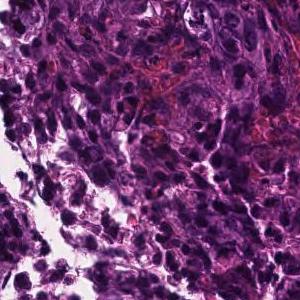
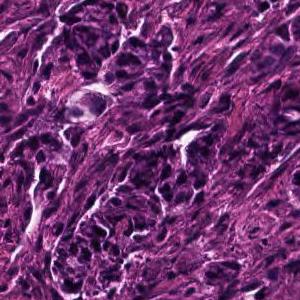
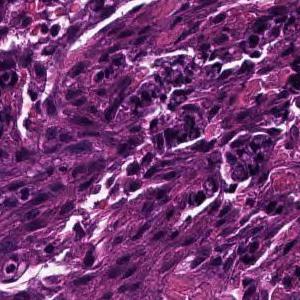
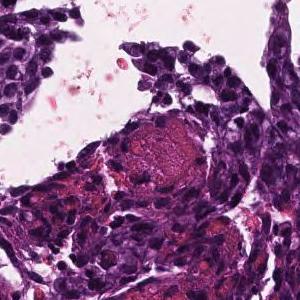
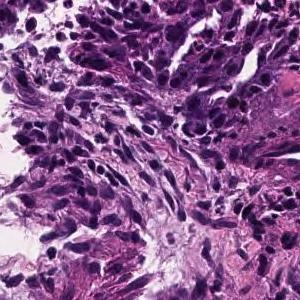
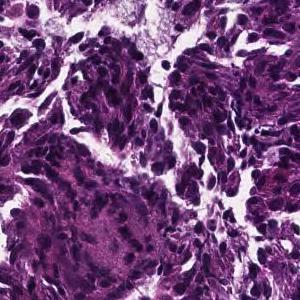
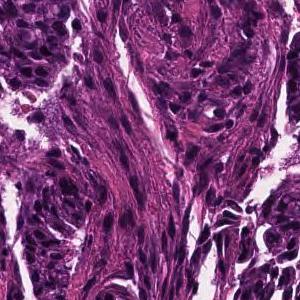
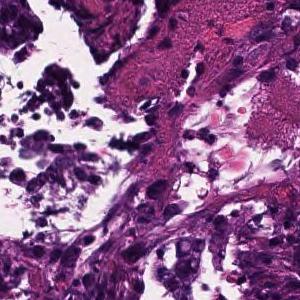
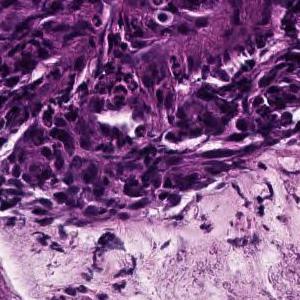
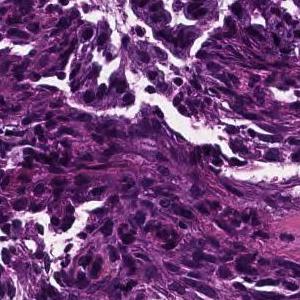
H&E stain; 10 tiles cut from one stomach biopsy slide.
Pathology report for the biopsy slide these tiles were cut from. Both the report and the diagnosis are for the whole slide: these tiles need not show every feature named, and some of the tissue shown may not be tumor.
Tumor tissue consisting of medium-sized, cord-like or irregular glandular infiltration is observed in the superficial epithelium. Poorly differentiated adenocarcinoma, non-solid type or moderately differentiated tubular adenocarcinoma
Histological subtype: Moderately to poorly differentiated adenocarcinoma.
The non-solid type named here is a Japanese Classification of Gastric Carcinoma category.
